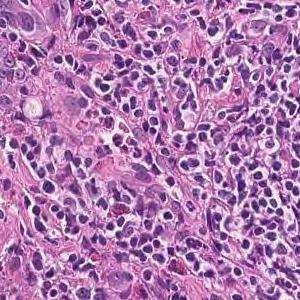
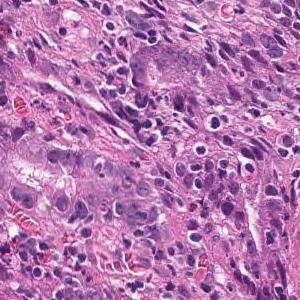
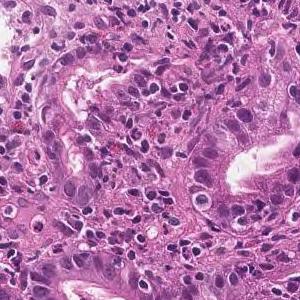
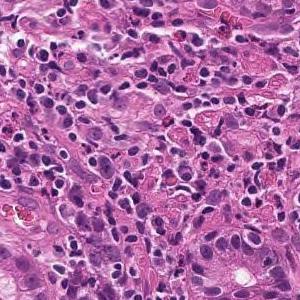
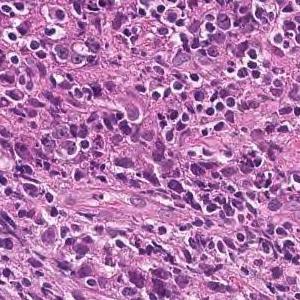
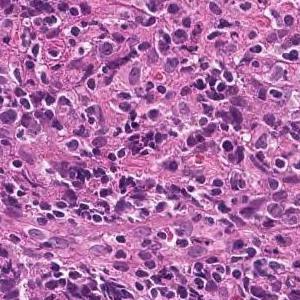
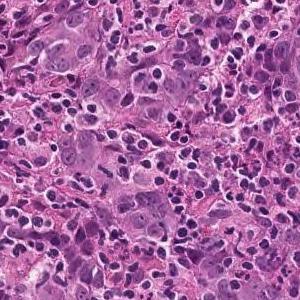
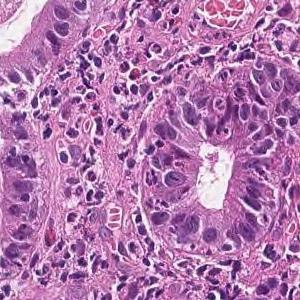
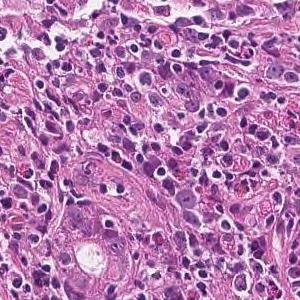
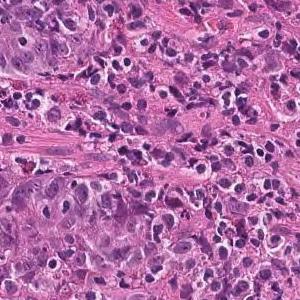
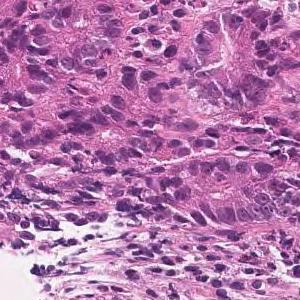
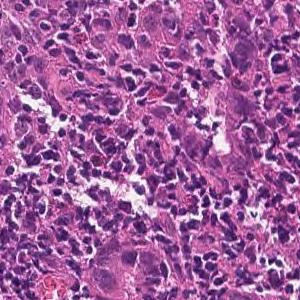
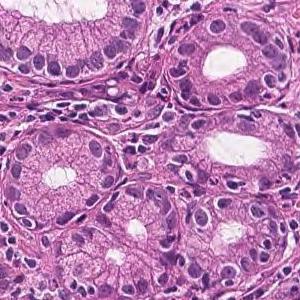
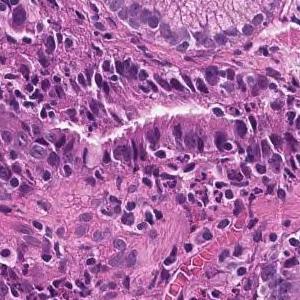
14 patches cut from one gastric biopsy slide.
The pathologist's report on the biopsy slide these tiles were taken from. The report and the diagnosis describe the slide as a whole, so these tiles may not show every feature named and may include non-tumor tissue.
Tumor tissue consisting of medium-sized, cord-like or irregular glandular infiltration is observed in the superficial epithelium. Poorly differentiated adenocarcinoma, non-solid type or moderately differentiated tubular adenocarcinoma
Dataset label: poorly differentiated adenocarcinoma, non-solid type.
The term "non-solid type" comes from the Japanese Classification of Gastric Carcinoma.
